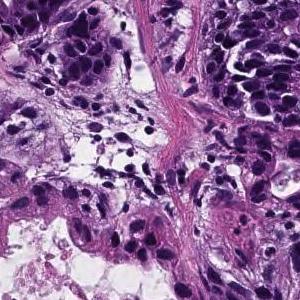
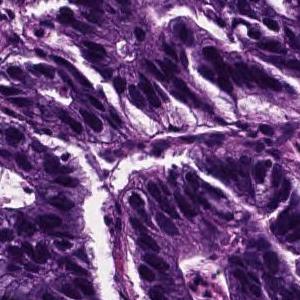
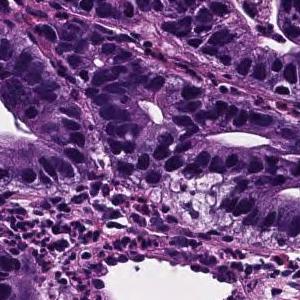
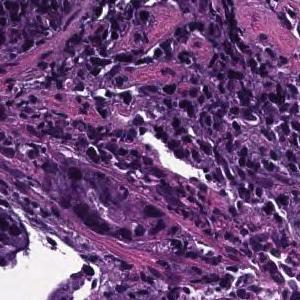
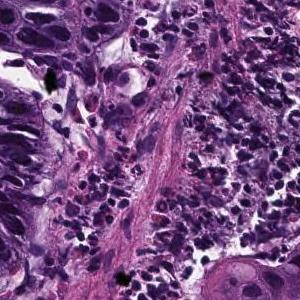
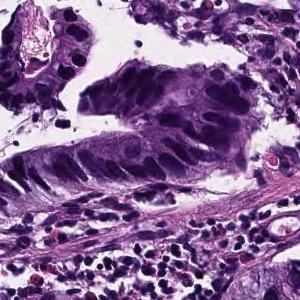
H&E stain; 6 image tiles from a single gastric biopsy slide; 300×300 px each.
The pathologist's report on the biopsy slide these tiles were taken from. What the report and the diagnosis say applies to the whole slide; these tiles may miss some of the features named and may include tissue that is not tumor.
In the superficial epithelium, tumor tissue that invades by forming medium-sized to small, irregular ducts is observed. Moderately differentiated adenocarcinoma.
Subtype: Moderately differentiated tubular adenocarcinoma.
